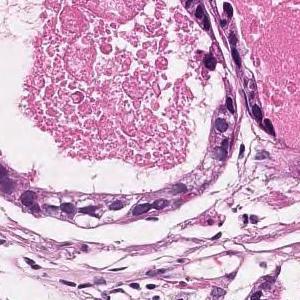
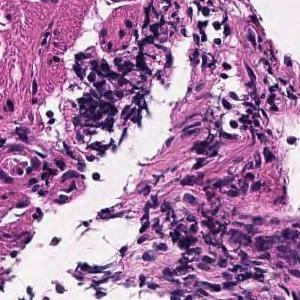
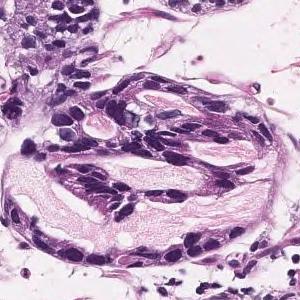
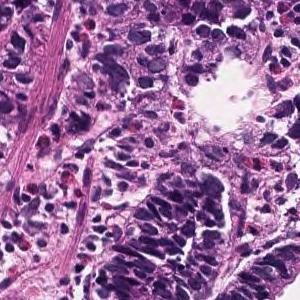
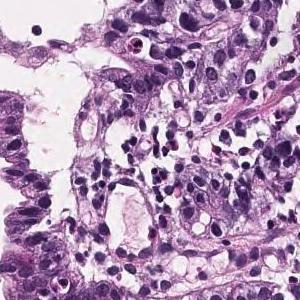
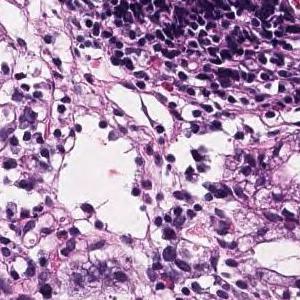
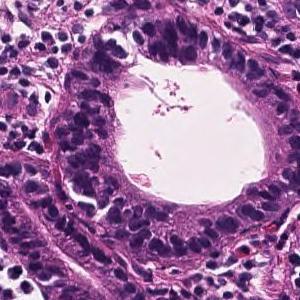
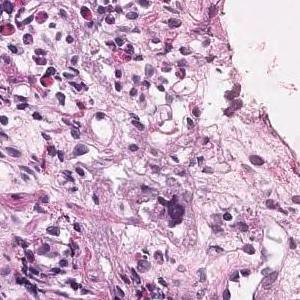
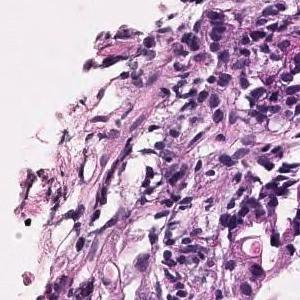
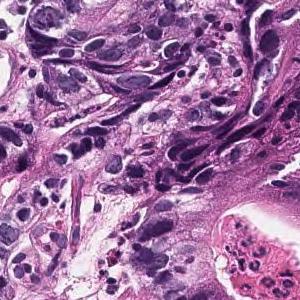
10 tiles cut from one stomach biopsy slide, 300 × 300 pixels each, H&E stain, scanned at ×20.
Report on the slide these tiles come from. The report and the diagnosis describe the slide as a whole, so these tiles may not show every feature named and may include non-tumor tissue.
Tumor tissue consisting of medium-sized and irregular ducts is observed infiltrating in the superficial epithelium. Tumor cells are highly columnar, with nuclei aligned basolaterally and polarized. Well differentiated tubular adenocarcinoma.
